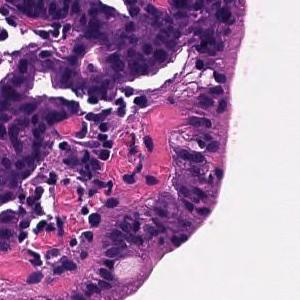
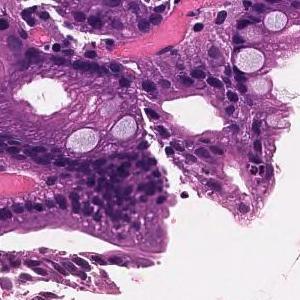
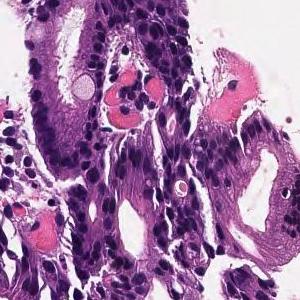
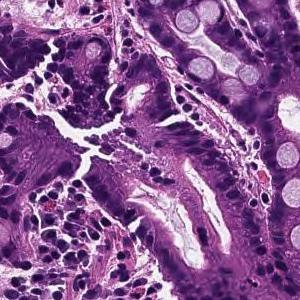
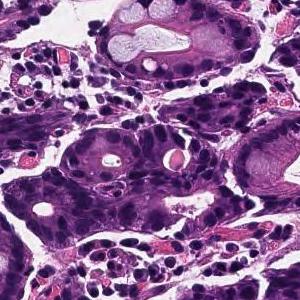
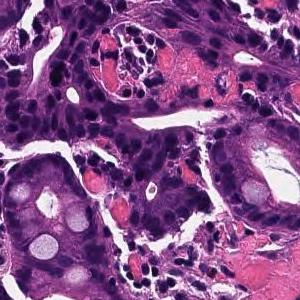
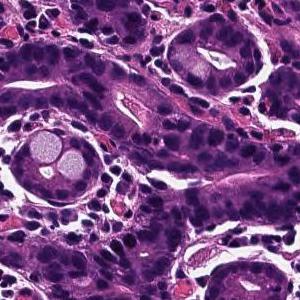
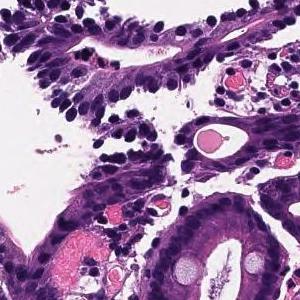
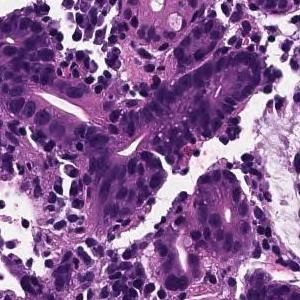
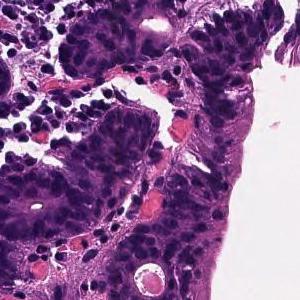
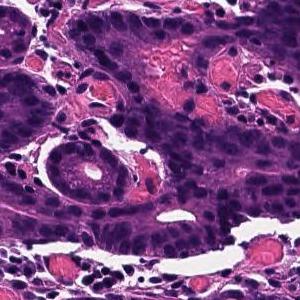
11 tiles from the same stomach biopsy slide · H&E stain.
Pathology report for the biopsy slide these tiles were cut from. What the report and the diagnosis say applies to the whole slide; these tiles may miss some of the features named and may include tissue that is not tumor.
In the superficial epithelium, tumor tissue that invades by forming medium-sized to small, irregular ducts is observed. moderately differentiated tubular adenocarcinoma.
